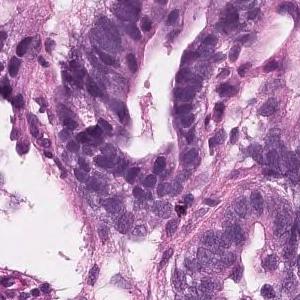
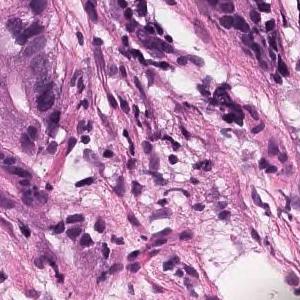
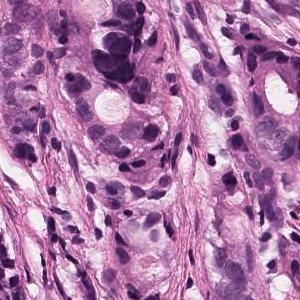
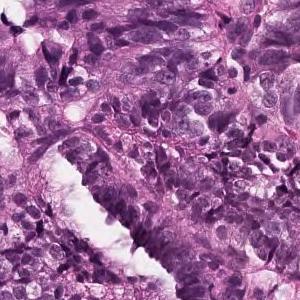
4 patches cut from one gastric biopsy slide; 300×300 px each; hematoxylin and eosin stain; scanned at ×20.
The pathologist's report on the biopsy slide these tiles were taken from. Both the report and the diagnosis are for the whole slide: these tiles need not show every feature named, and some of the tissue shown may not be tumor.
On the superficial epithelium, tumor tissue consisting of large, irregular glandular ducts partially fused and infiltrated is observed. Well to moderately differentiated tubular adenocarcinoma (well differentiated tubular adenocarcinoma, moderately differentiated tubular adenocarcinoma)
Classified as well to moderately differentiated tubular adenocarcinoma.
